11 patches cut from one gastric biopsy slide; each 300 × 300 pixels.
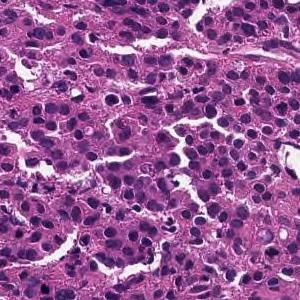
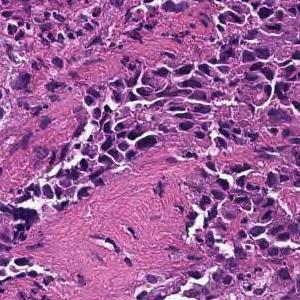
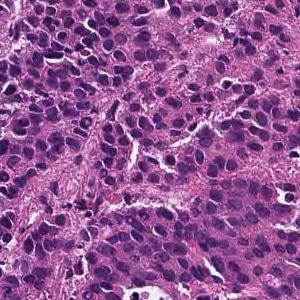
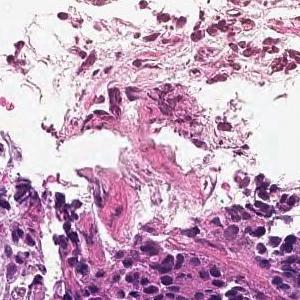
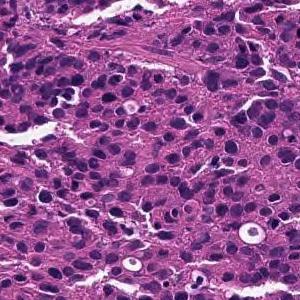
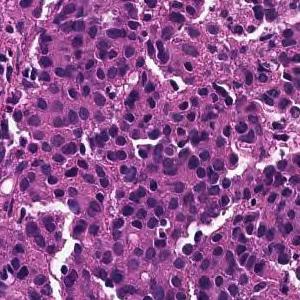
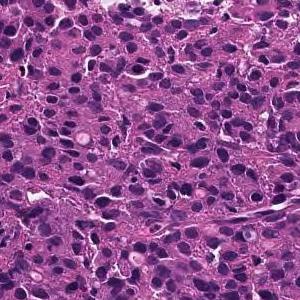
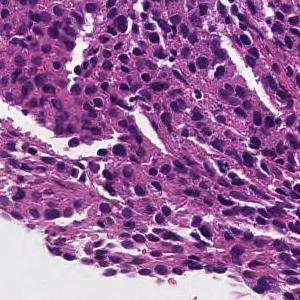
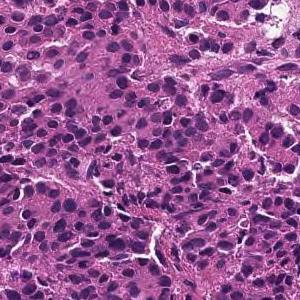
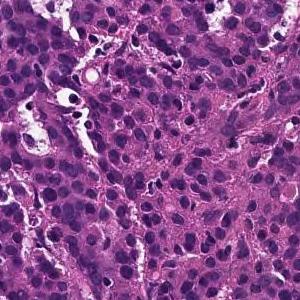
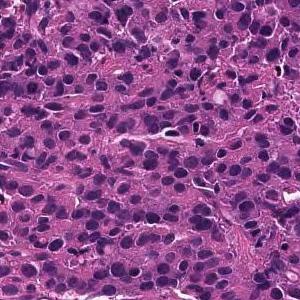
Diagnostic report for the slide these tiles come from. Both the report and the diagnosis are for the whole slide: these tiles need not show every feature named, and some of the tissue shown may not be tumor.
The superficial epithelium shows a large sheet-like shape, and some tumor tissue infiltrates with small irregular ducts. Poorly differentiated adenocarcinoma, solid-type
Tumor subtype: poorly differentiated adenocarcinoma, solid type. This name comes from the Japanese Classification of Gastric Carcinoma; the WHO 2019 classification calls it tubular adenocarcinoma, poorly differentiated.
